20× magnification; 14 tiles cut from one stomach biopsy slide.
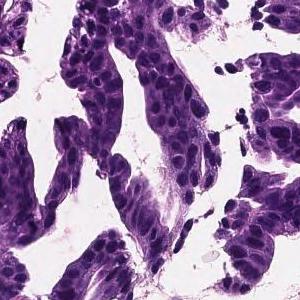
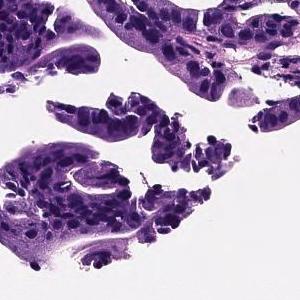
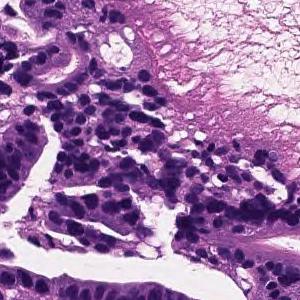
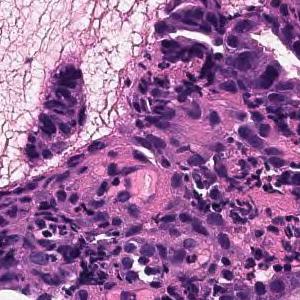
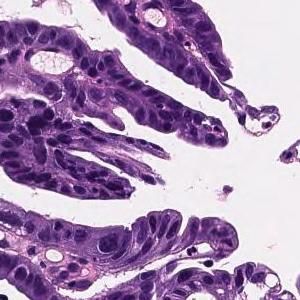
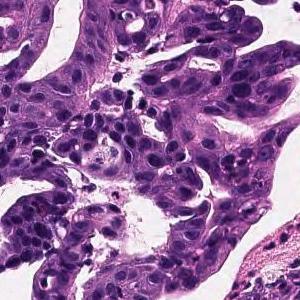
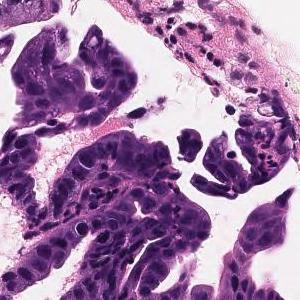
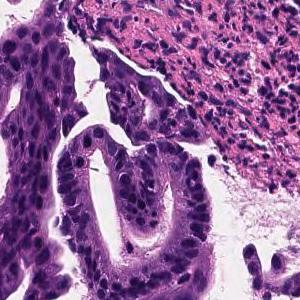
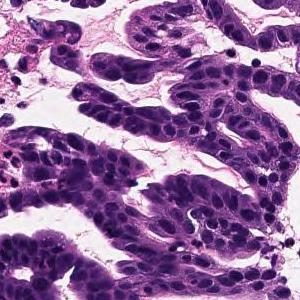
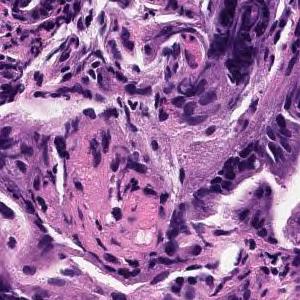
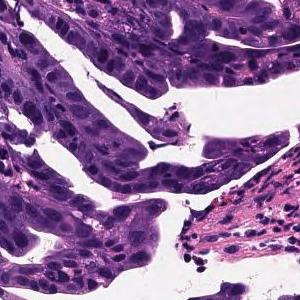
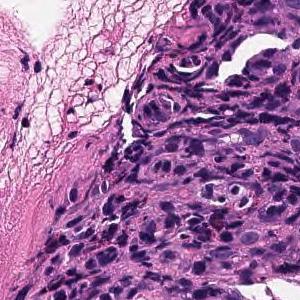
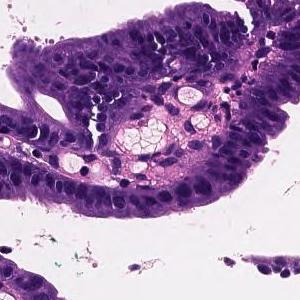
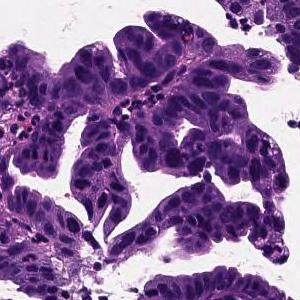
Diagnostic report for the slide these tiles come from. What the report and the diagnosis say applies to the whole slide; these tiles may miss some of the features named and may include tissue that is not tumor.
Tumor cells are large, highly columnar, large club-shaped nuclei, and are associated with chromatin aggregation. Papillary adenocarcinoma.
